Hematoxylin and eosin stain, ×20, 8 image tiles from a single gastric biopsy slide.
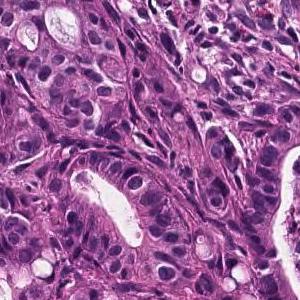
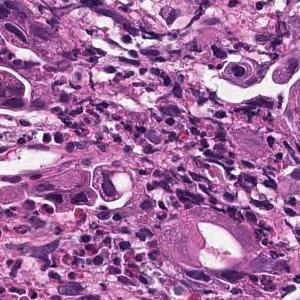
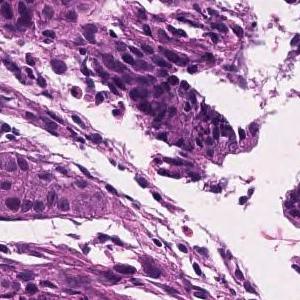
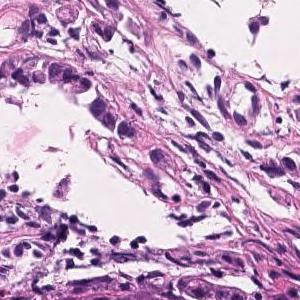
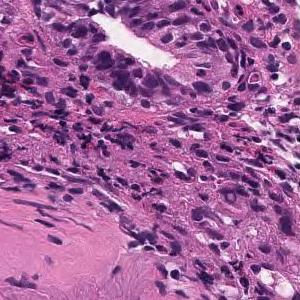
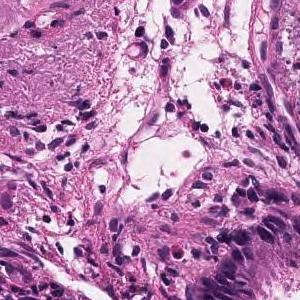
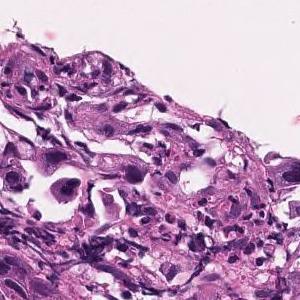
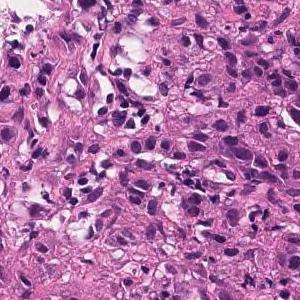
Pathology report for the biopsy slide these tiles were cut from. The report and the diagnosis describe the slide as a whole, so these tiles may not show every feature named and may include non-tumor tissue.
Tumor tissue consisting of medium-sized, cord-like or irregular glandular infiltration is observed in the superficial epithelium. Poorly differentiated adenocarcinoma, non-solid type or moderately differentiated tubular adenocarcinoma
"Non-solid type" is a category of the Japanese Classification of Gastric Carcinoma.
